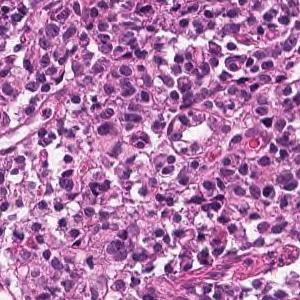
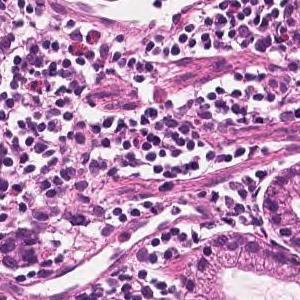
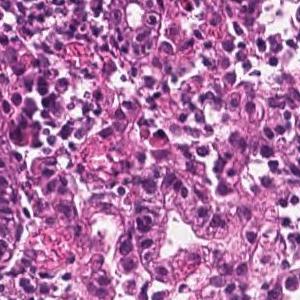
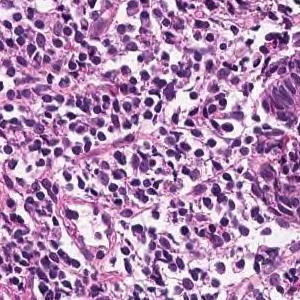
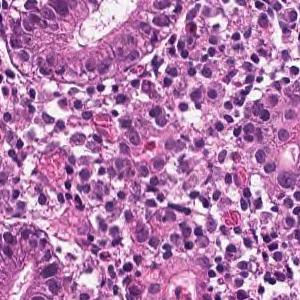
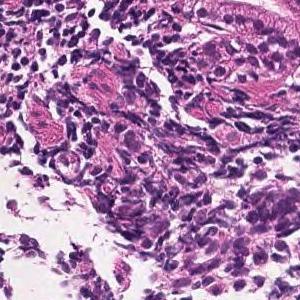
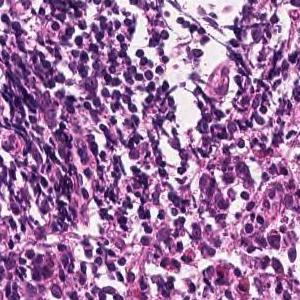
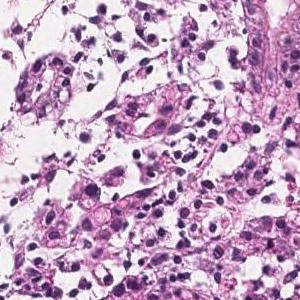
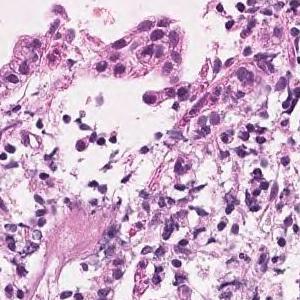
Hematoxylin and eosin stain; 9 tiles from the same stomach biopsy slide; 300 × 300 pixels each.
Report on the slide these tiles come from. The findings and the diagnosis refer to the entire slide; these tiles show only part of it, possibly with non-tumor tissue, and may not show every feature named.
Tumor tissue consisting of cord-like or small, irregular glandular ducts fused and infiltrated is observed in the superficial epithelium. Poorly differentiated adenocarcinoma, non-solid type
The non-solid type named here is a Japanese Classification of Gastric Carcinoma category.
